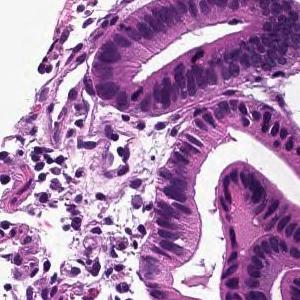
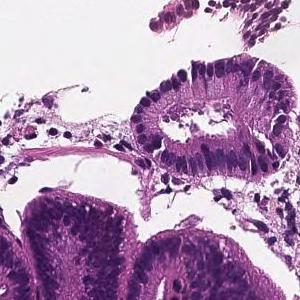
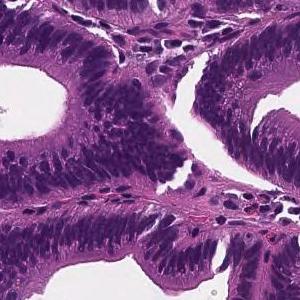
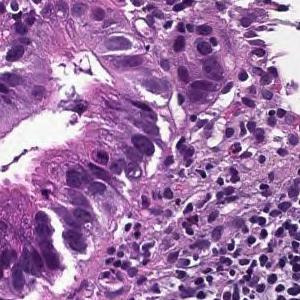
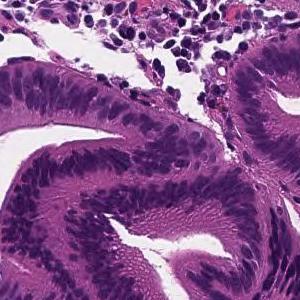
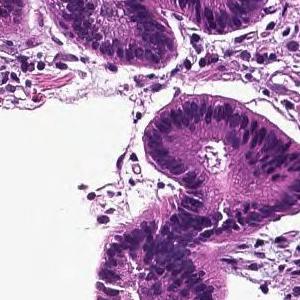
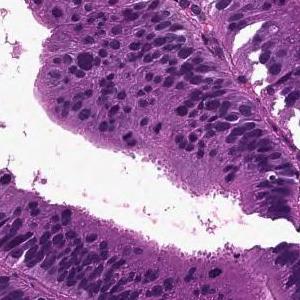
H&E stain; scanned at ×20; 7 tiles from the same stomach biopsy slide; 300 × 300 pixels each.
Report on the slide these tiles come from. What the report and the diagnosis say applies to the whole slide; these tiles may miss some of the features named and may include tissue that is not tumor.
From the superficial epithelium to the muscularis mucosae, tumor tissue consisting of medium-sized and irregular glandular ducts infiltrating is observed. Well differentiated tubular adenocarcinoma
